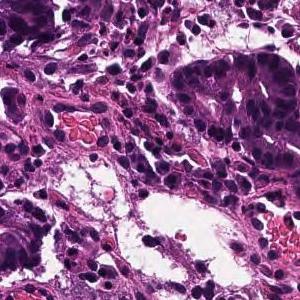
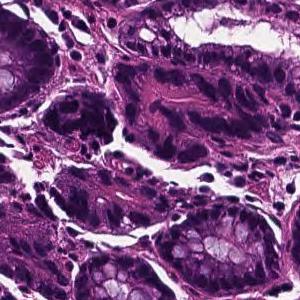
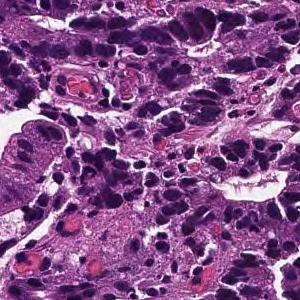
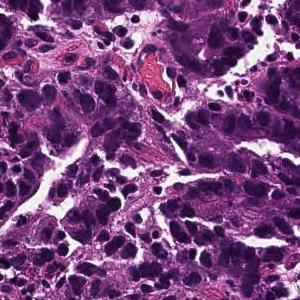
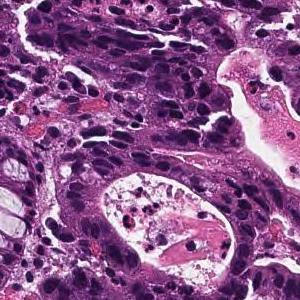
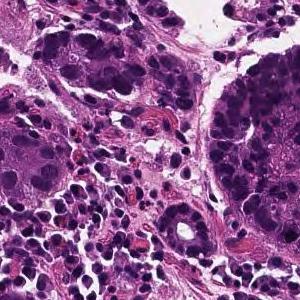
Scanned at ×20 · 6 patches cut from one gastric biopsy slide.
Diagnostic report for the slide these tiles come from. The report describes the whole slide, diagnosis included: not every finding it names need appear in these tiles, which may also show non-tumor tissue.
In the superficial epithelium, tumor tissue that invades by forming medium-sized to small, irregular ducts is observed. moderately differentiated tubular adenocarcinoma.
